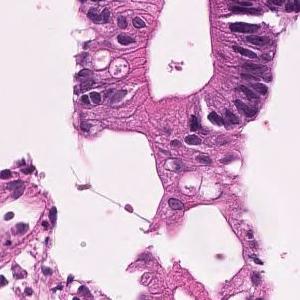
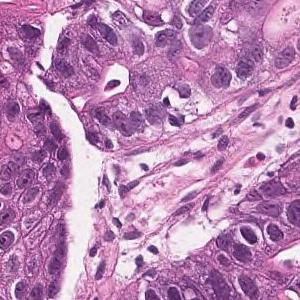
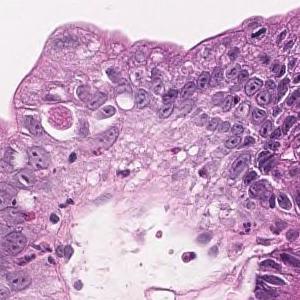
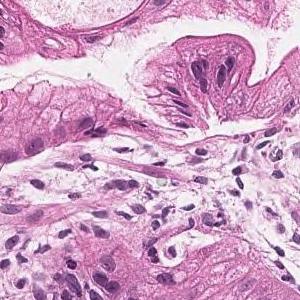
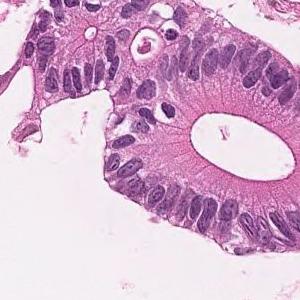
5 tiles cut from one stomach biopsy slide; 300×300 px each; H&E.
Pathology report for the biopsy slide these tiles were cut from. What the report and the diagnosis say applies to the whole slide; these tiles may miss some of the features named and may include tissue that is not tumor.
On the superficial epithelium, tumor tissue that infiltrates by forming medium-sized papillary or small irregular ducts is observed. Papillary adenocarcinoma
